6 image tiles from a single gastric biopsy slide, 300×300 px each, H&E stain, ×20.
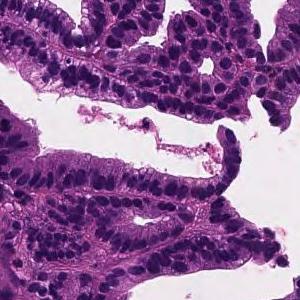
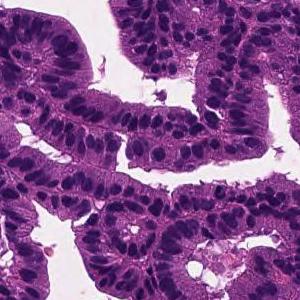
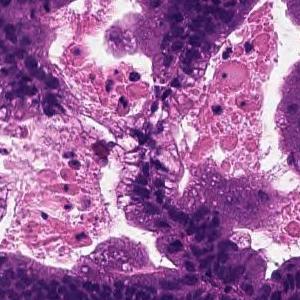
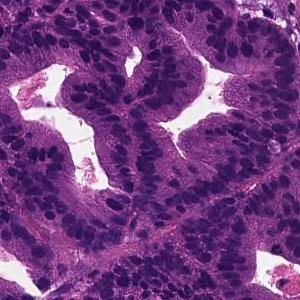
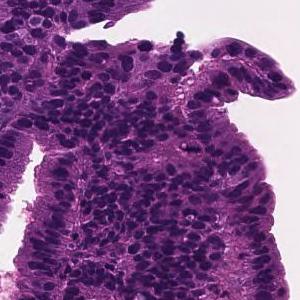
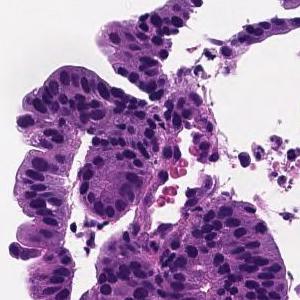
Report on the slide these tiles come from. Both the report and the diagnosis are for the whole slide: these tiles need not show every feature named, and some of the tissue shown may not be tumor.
Tumor cells are large, highly columnar, large club-shaped nuclei, and are associated with chromatin aggregation. Papillary adenocarcinoma.
